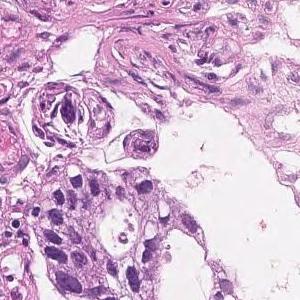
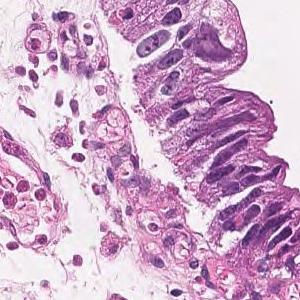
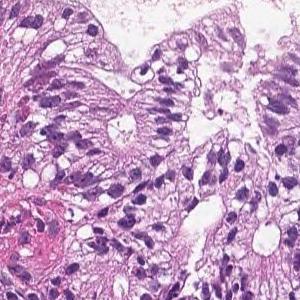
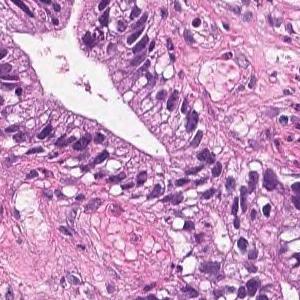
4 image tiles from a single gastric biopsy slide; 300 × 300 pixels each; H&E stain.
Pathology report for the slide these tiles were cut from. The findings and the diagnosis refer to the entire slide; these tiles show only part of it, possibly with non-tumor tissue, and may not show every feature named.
On the superficial epithelium, tumor tissue that infiltrates by forming medium-sized papillary or small irregular ducts is observed. Papillary adenocarcinoma
